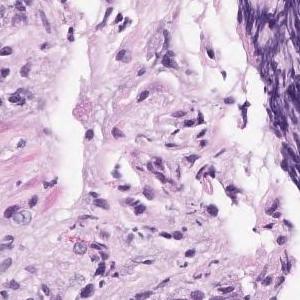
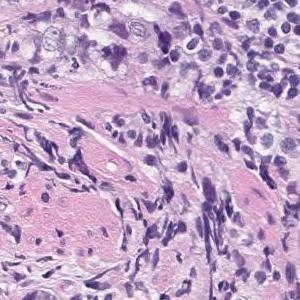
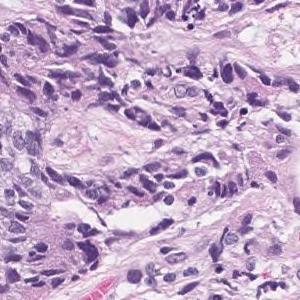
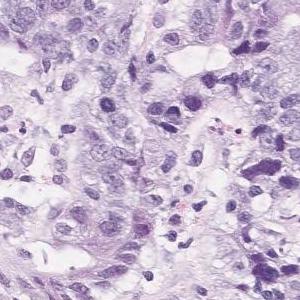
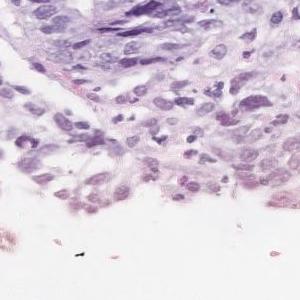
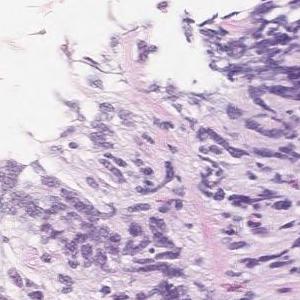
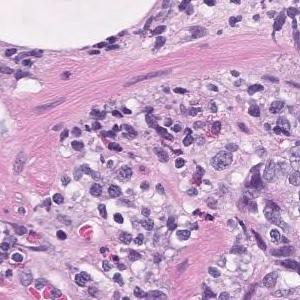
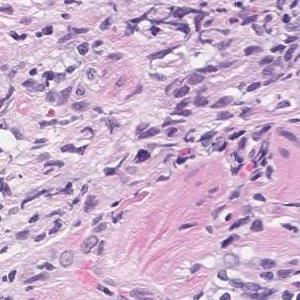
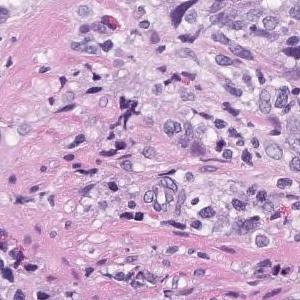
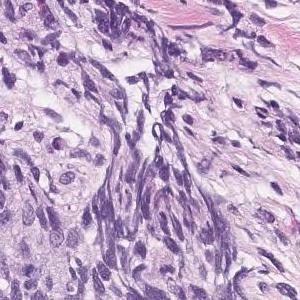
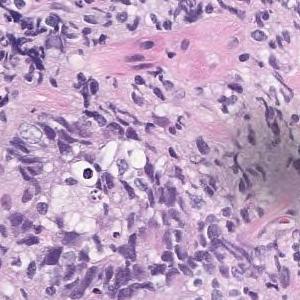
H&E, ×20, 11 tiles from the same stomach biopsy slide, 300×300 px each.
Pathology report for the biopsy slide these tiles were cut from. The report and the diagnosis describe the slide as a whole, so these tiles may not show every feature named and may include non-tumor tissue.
Highly columnar epithelium with disordered nuclear localization proliferates showing fusion ductal construction. moderately differentiated tubular adenocarcinoma
